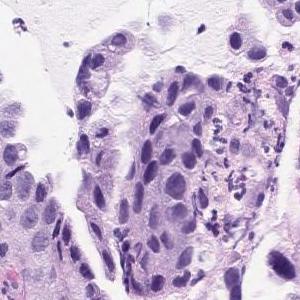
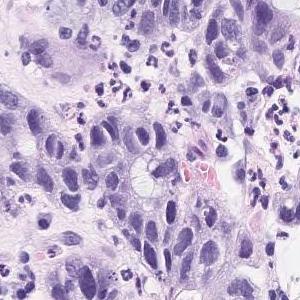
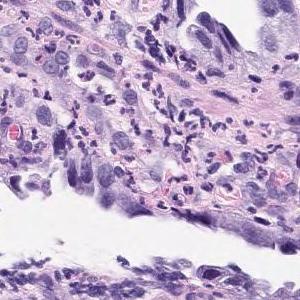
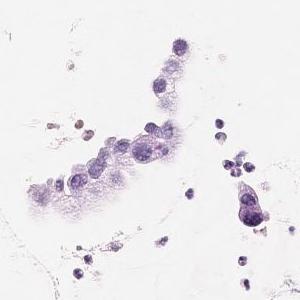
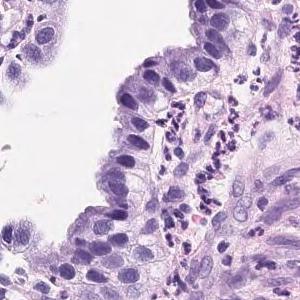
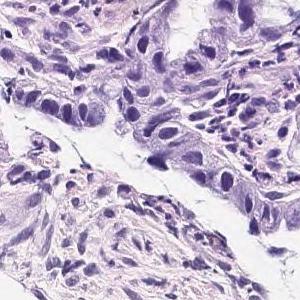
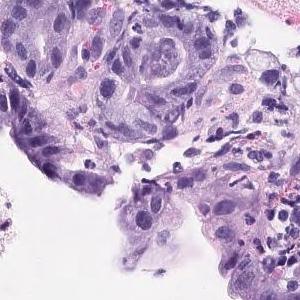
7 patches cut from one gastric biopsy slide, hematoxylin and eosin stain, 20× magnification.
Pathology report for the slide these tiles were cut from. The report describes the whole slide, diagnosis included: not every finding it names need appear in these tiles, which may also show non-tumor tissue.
Atypical l cells with atypical nuclei forming solid or diffuse vesicles or small irregular atypical ducts and growing in a complex manner. Well differentiated tubular adenocarcinoma
